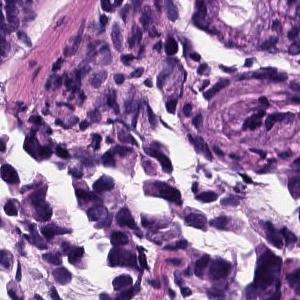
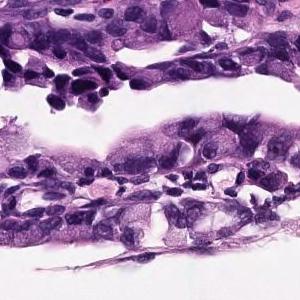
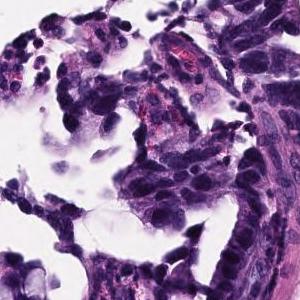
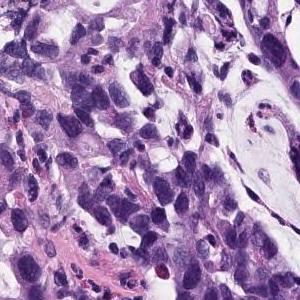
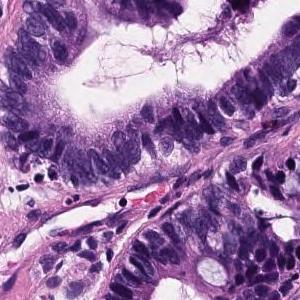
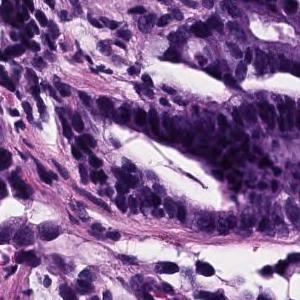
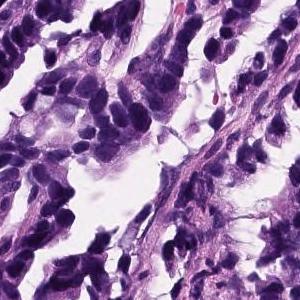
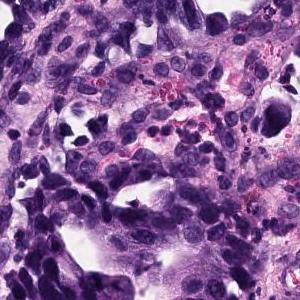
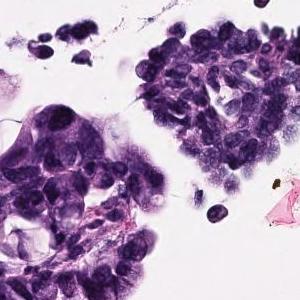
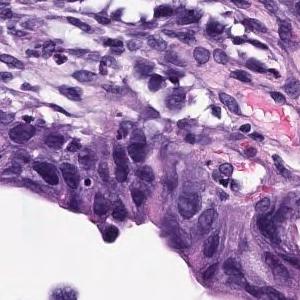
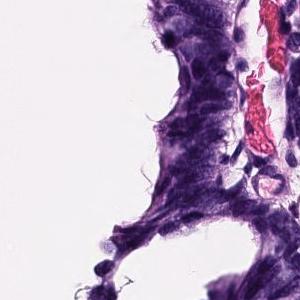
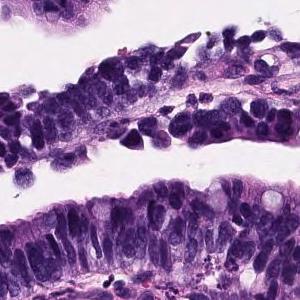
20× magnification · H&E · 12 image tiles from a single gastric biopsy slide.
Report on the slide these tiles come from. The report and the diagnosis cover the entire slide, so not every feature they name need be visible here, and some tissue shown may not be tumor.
Atypical epithelium proliferating showing villus construction and irregular gland duct construction is observed. Moderately differentiated tubular adenocarcinoma.
